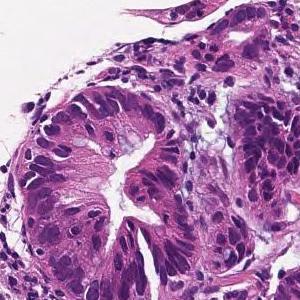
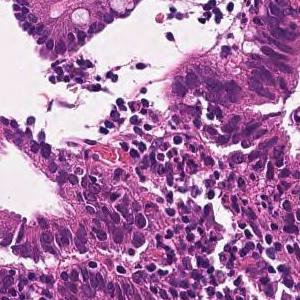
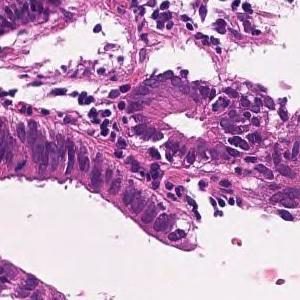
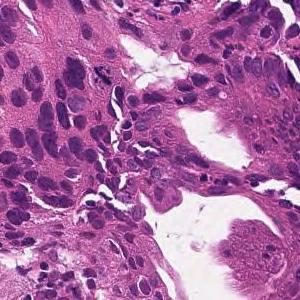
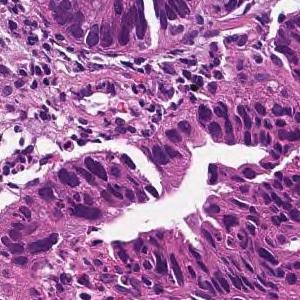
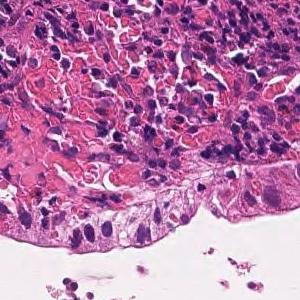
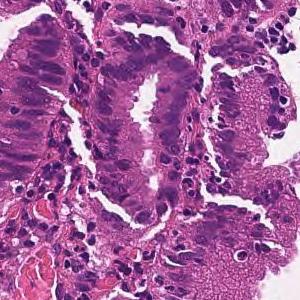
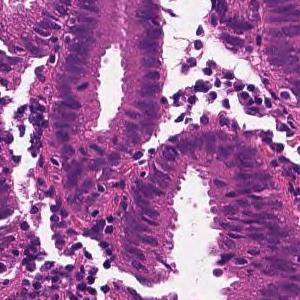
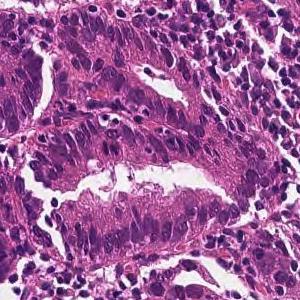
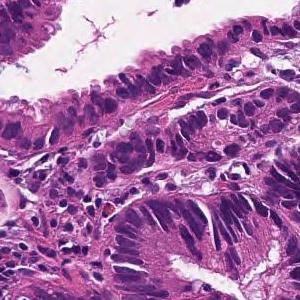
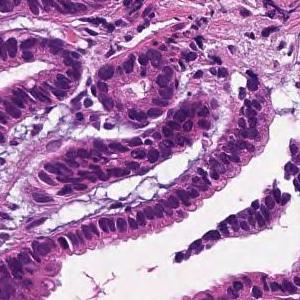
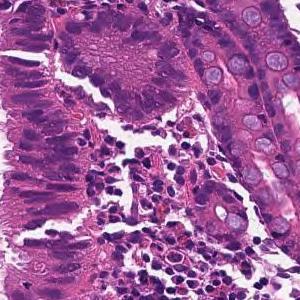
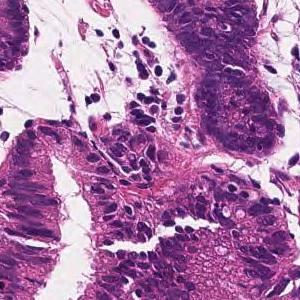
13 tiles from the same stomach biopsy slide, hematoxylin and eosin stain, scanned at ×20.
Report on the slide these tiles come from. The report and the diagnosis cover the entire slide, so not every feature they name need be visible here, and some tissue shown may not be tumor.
From the superficial epithelium to the muscularis mucosae, tumor tissue infiltrating by forming medium-sized irregular gland ducts is observed. Large tumor cells exhibit large nucleus and hyperchromatism. Well differentiated tubular adenocarcinoma
